14 image tiles from a single gastric biopsy slide, 300 × 300 pixels each, scanned at ×20, H&E stain.
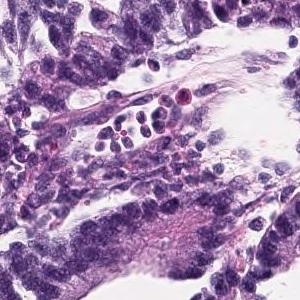
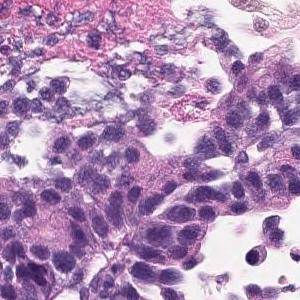
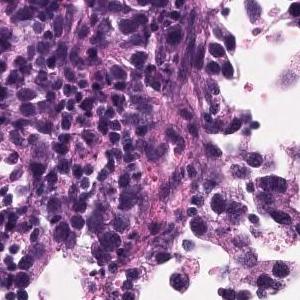
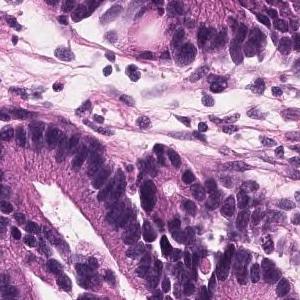
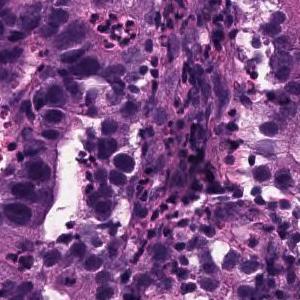
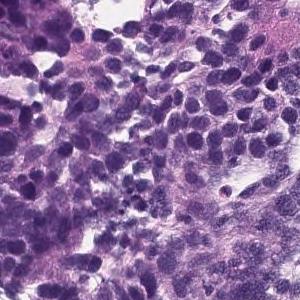
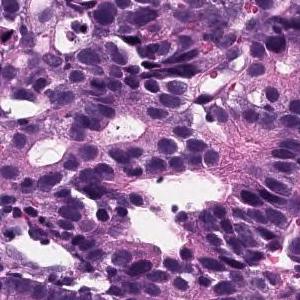
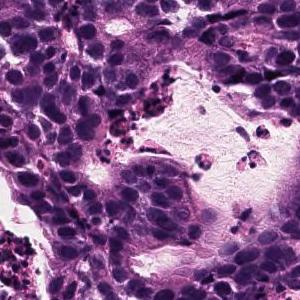
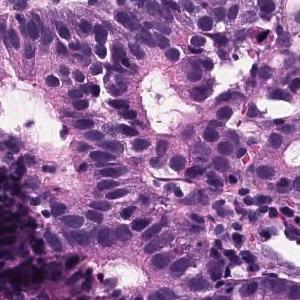
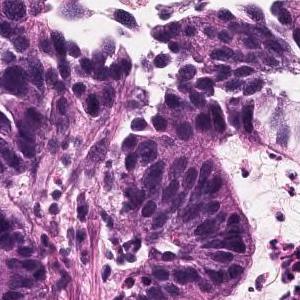
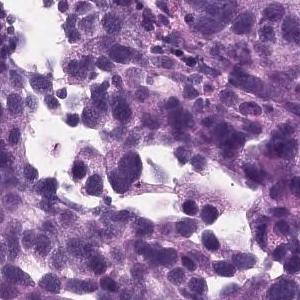
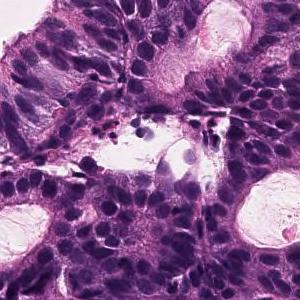
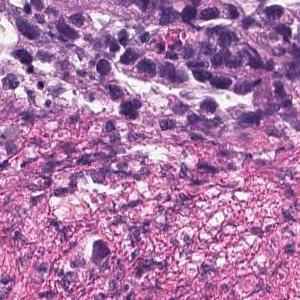
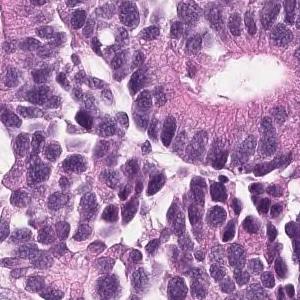
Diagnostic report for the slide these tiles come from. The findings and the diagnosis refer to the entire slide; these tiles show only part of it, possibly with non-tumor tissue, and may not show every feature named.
In the superficial epithelium, tumor tissue that invades by forming medium-sized to small, irregular ducts is observed. moderately differentiated tubular adenocarcinoma.
